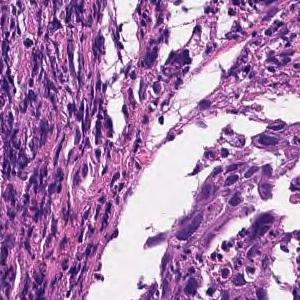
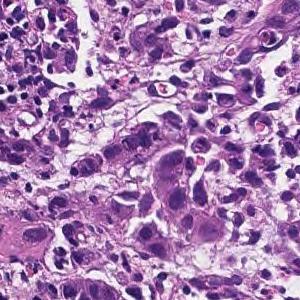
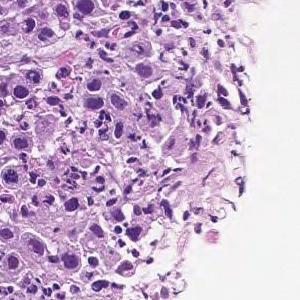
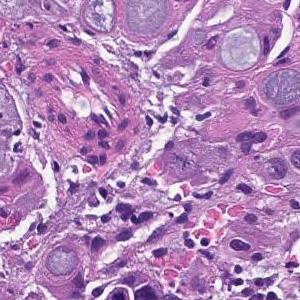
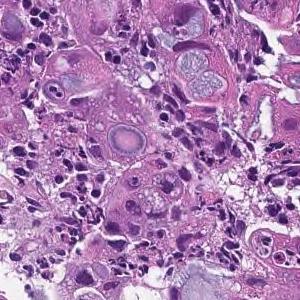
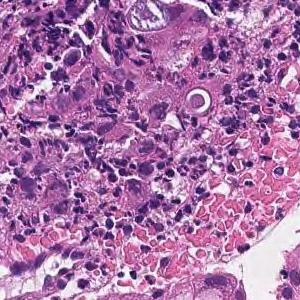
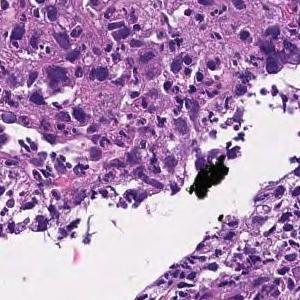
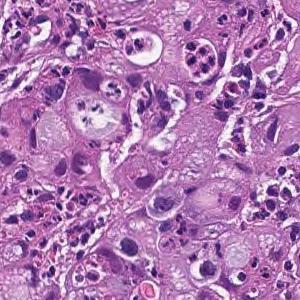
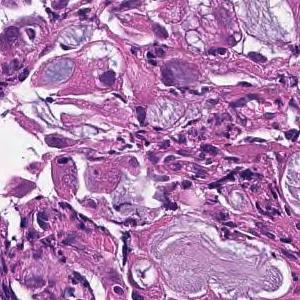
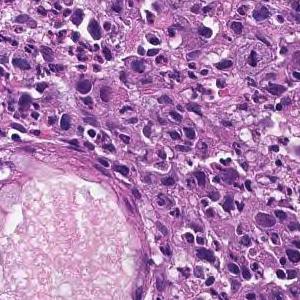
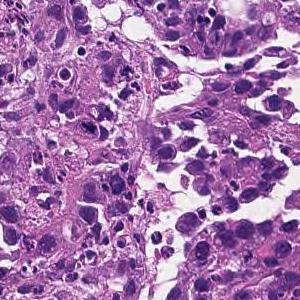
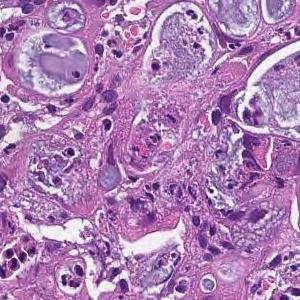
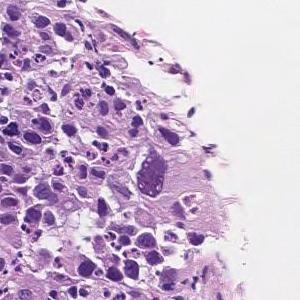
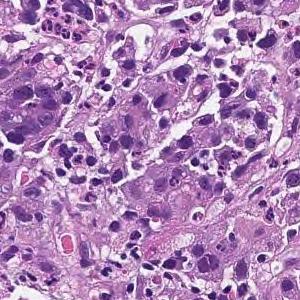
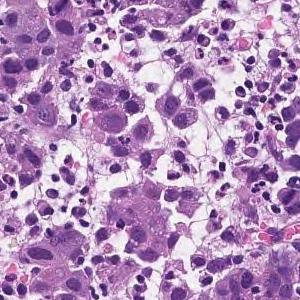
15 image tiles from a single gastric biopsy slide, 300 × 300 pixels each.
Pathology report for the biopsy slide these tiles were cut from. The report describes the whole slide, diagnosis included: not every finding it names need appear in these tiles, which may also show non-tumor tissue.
The superficial epithelium shows a large sheet-like shape, and some tumor tissue infiltrates with small irregular ducts. Poorly differentiated adenocarcinoma, solid-type
Histologic type: Poorly differentiated adenocarcinoma, solid type (Japanese Classification of Gastric Carcinoma). The WHO 2019 equivalent is tubular adenocarcinoma, poorly differentiated.
